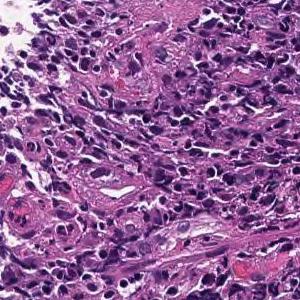
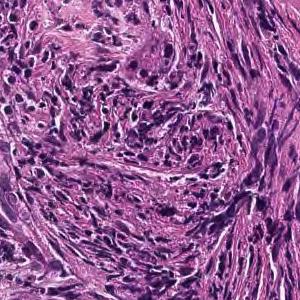
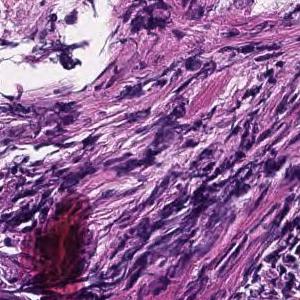
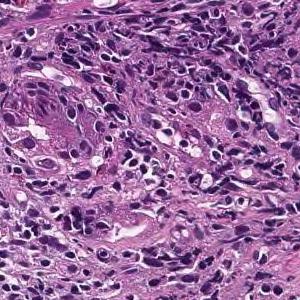
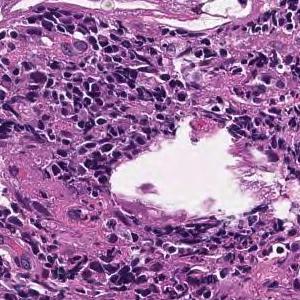
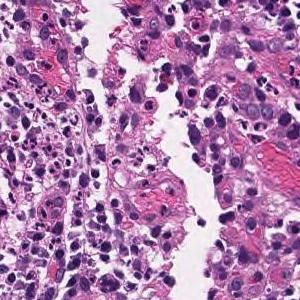
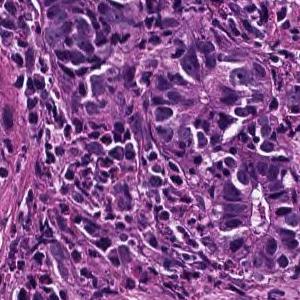
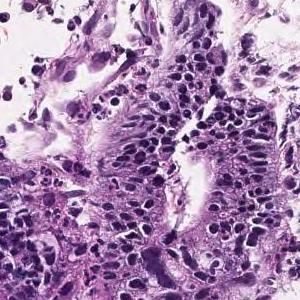
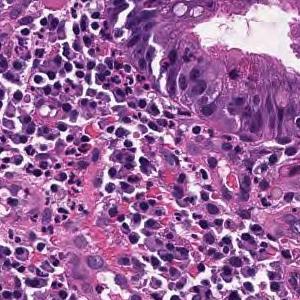
H&E, 9 patches cut from one gastric biopsy slide.
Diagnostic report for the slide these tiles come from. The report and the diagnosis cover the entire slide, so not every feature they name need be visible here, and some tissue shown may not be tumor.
On the superficial epithelium, tumor tissue consisting of large, irregular glandular ducts partially fused and infiltrated is observed. Well to moderately differentiated tubular adenocarcinoma (well differentiated tubular adenocarcinoma, moderately differentiated tubular adenocarcinoma)
Histologic type: Well to moderately differentiated tubular adenocarcinoma.
